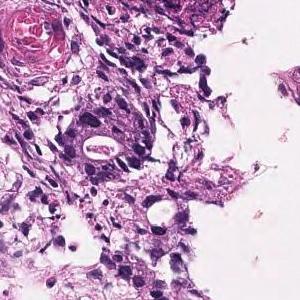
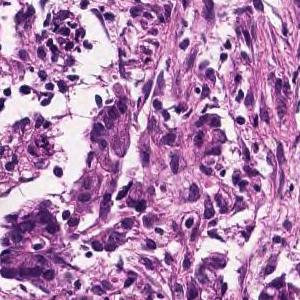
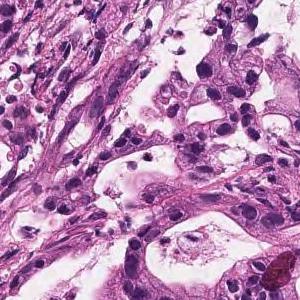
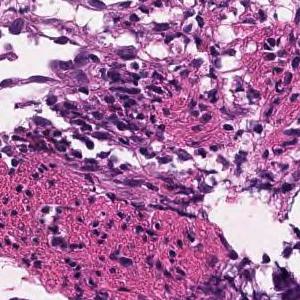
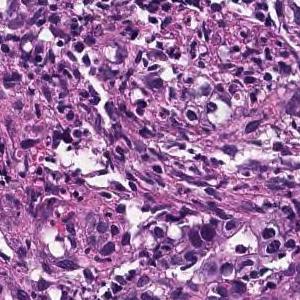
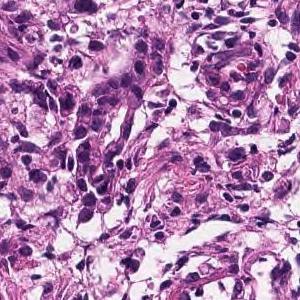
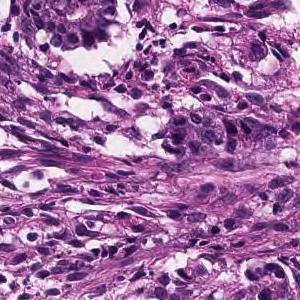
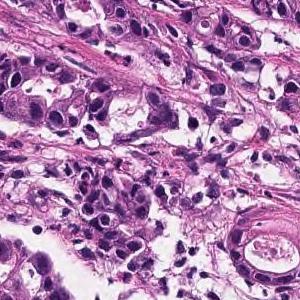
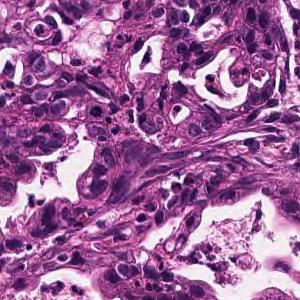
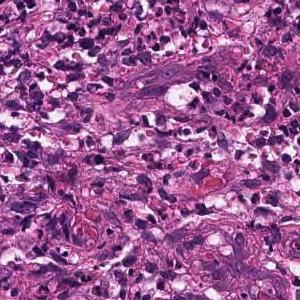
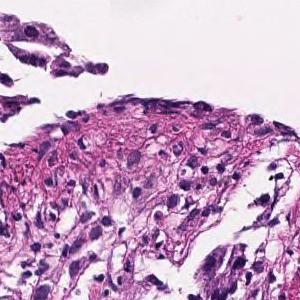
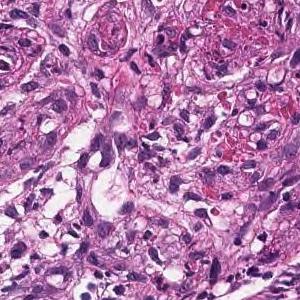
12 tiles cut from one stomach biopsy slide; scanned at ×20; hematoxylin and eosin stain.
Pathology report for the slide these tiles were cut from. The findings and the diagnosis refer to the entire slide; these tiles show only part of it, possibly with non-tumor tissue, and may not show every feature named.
In the superficial epithelium, medium to small, irregular gland ducts are formed, and in some cases, the gland ducts are fused to show solid alveolar lesions and infiltrating tumor tissue is observed. Moderately to poorly differentiated adenocarcinoma.
